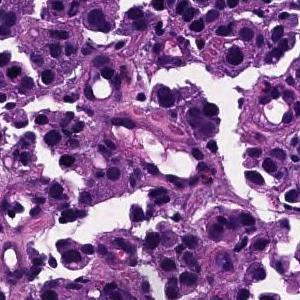
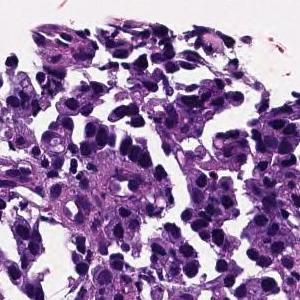
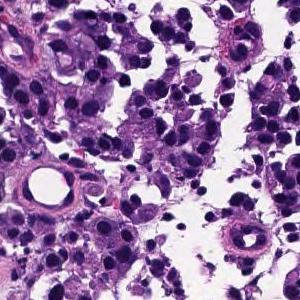
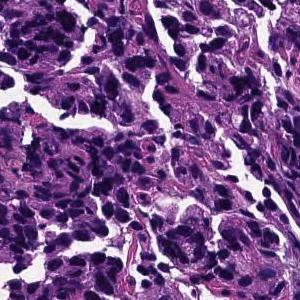
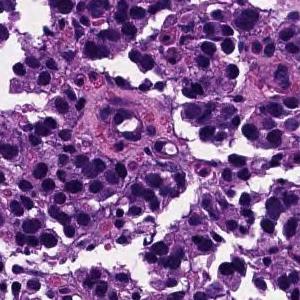
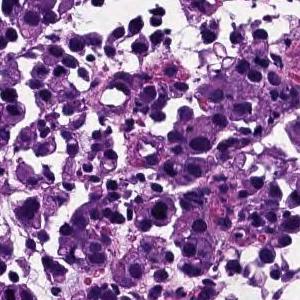
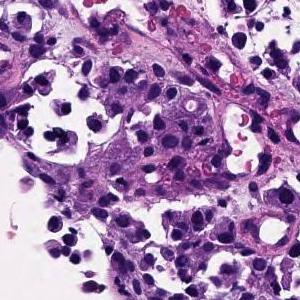
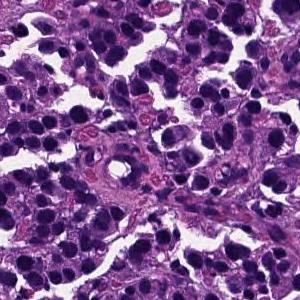
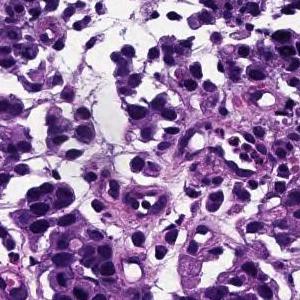
9 patches cut from one gastric biopsy slide; each 300 × 300 pixels; ×20; hematoxylin and eosin stain.
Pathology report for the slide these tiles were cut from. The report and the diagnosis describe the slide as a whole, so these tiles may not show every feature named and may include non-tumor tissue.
The superficial epithelium shows a large alveolar shape and infiltrates tumor tissue. Poorly differentiated adenocarcinoma, solid-type
Subtype: Poorly differentiated adenocarcinoma, solid type, a category of the Japanese Classification of Gastric Carcinoma; in the WHO 2019 classification it is tubular adenocarcinoma, poorly differentiated.
